H&E; 12 tiles cut from one stomach biopsy slide.
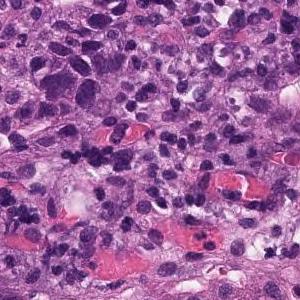
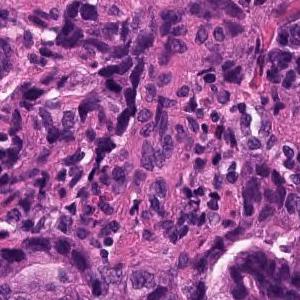
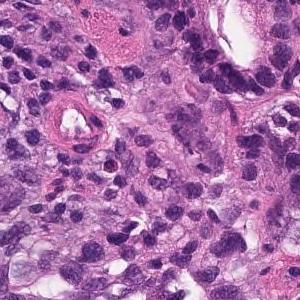
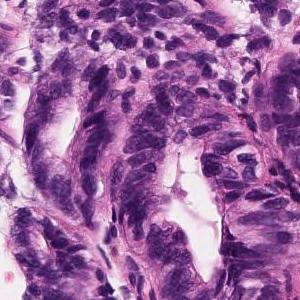
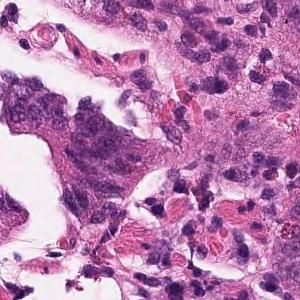
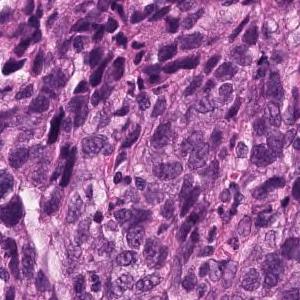
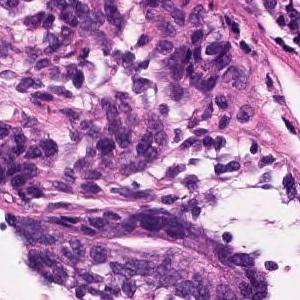
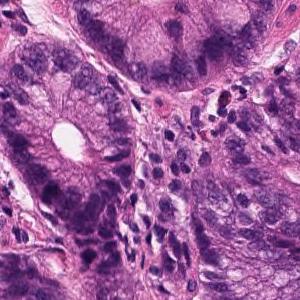
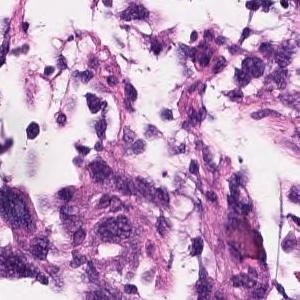
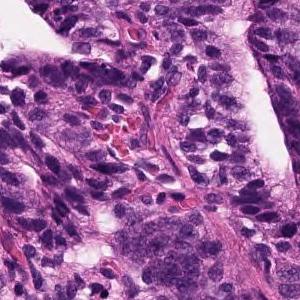
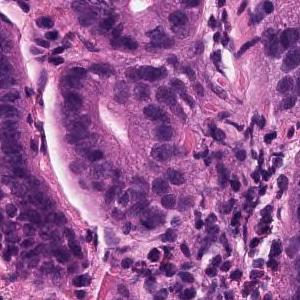
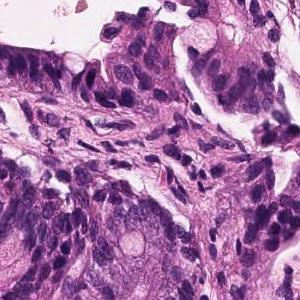
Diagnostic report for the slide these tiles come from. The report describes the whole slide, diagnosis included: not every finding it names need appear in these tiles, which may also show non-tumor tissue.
In the superficial epithelium, tumor tissue that invades by forming medium-sized to small, irregular ducts is observed. Moderately differentiated adenocarcinoma.
Histological subtype: Moderately differentiated tubular adenocarcinoma.
